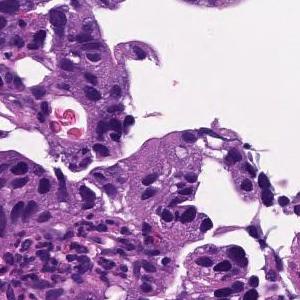
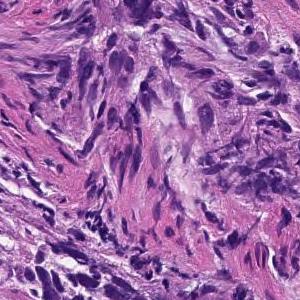
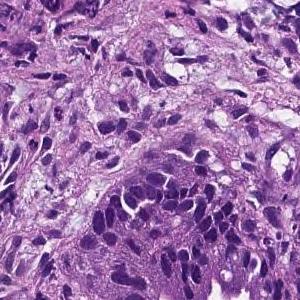
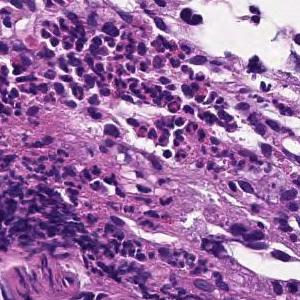
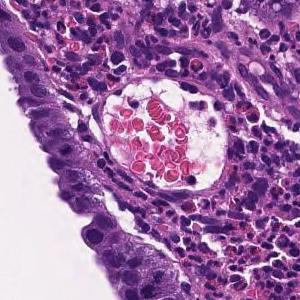
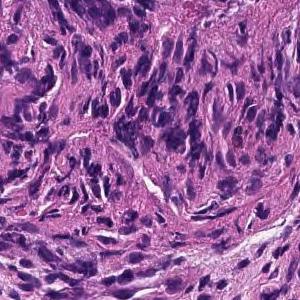
6 tiles from the same stomach biopsy slide; 300 × 300 pixels each.
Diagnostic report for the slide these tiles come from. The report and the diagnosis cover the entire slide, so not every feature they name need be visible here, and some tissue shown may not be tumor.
Tumor tissue consisting of large papillary structures is found in the superficial epithelium. Papillary adenocarcinoma.
